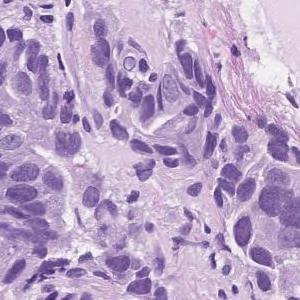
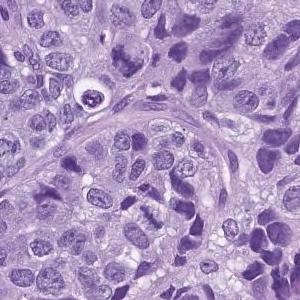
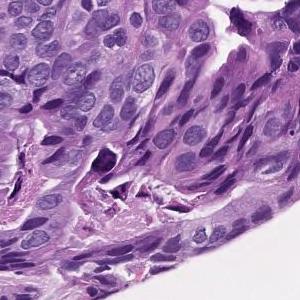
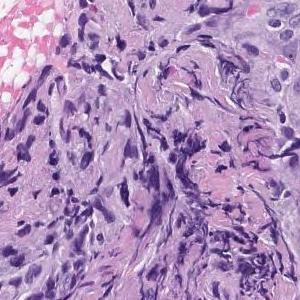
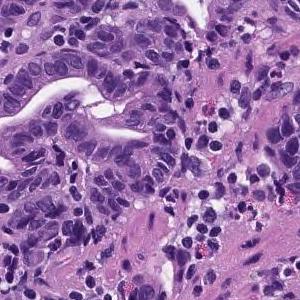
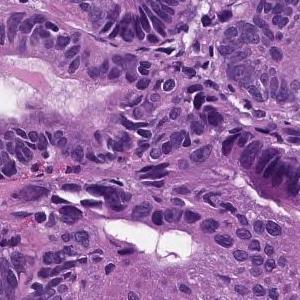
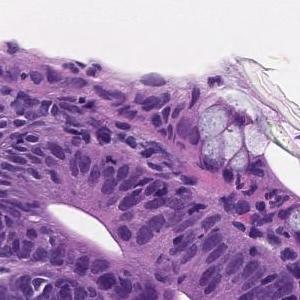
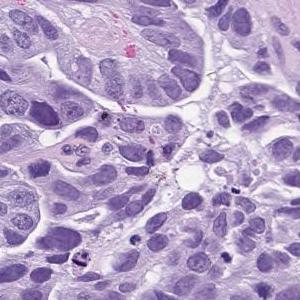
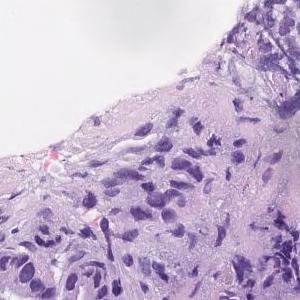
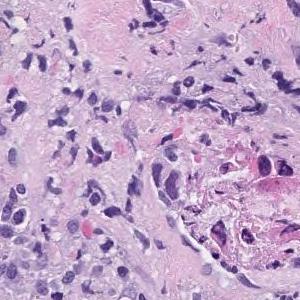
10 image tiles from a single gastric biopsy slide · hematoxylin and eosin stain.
Diagnostic report for the slide these tiles come from. The report and the diagnosis cover the entire slide, so not every feature they name need be visible here, and some tissue shown may not be tumor.
In the superficial epithelium, tumor tissue that invades by forming medium-sized to small, irregular ducts is observed. moderately differentiated tubular adenocarcinoma.
